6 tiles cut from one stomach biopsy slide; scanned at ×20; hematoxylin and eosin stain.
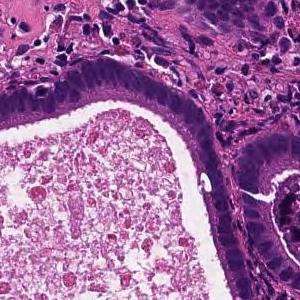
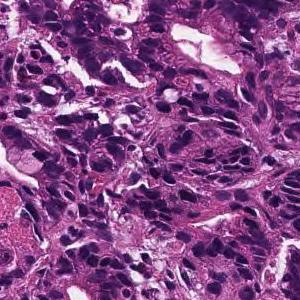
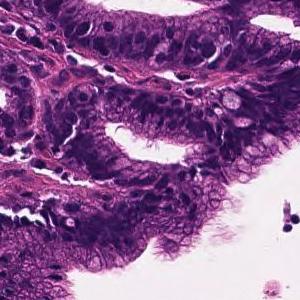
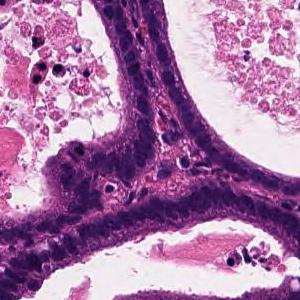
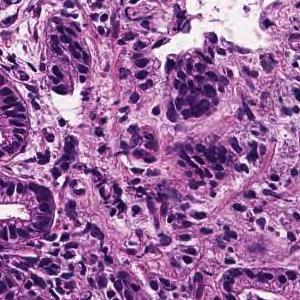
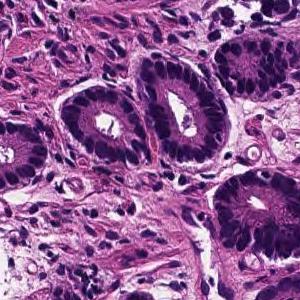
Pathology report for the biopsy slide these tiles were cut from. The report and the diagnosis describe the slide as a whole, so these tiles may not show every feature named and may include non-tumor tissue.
On the superficial epithelium, tumor tissue consisting of medium-sized and irregular glandular ducts partially fused and infiltrated is observed. Well to moderately differentiated tubular adenocarcinoma (well differentiated tubular adenocarcinoma-moderately differentiated tubular adenocarcinoma)
Tumor subtype: well to moderately differentiated tubular adenocarcinoma.
